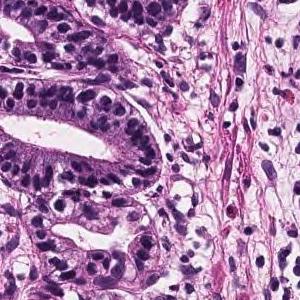
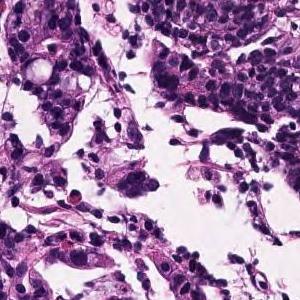
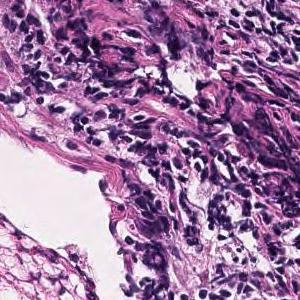
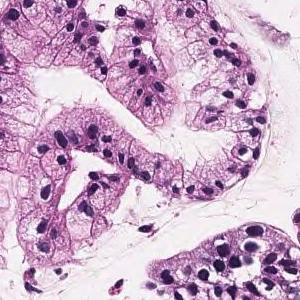
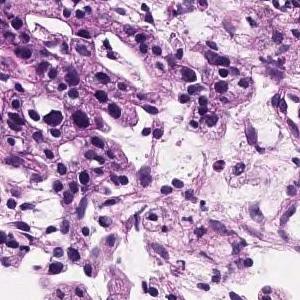
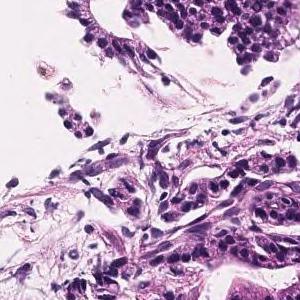
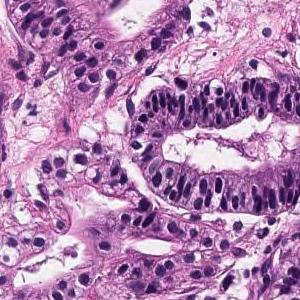
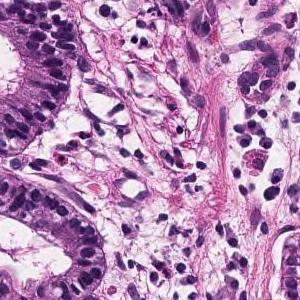
Hematoxylin and eosin stain, scanned at ×20, 8 image tiles from a single gastric biopsy slide, each 300 × 300 pixels.
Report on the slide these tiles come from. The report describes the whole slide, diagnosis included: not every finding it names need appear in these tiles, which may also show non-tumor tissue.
Tumor tissue consisting of large papillary structures or irregular glandular ducts partially fused and infiltrated is observed in the superficial epithelium. Well to moderately differentiated tubular adenocarcinoma.
Dataset label: moderately differentiated tubular adenocarcinoma.
